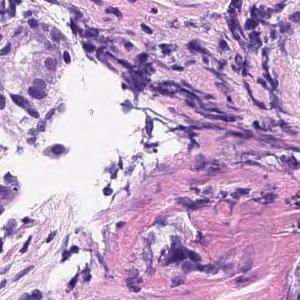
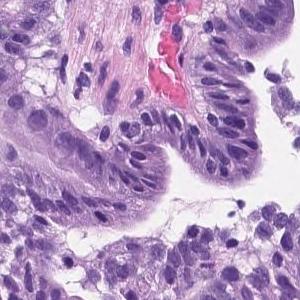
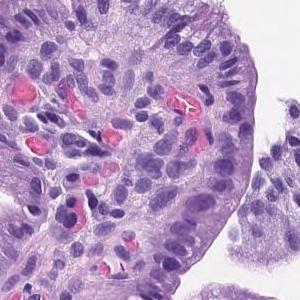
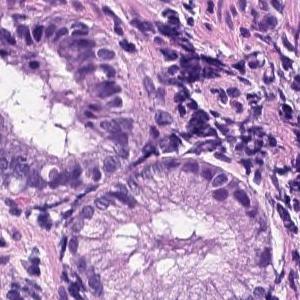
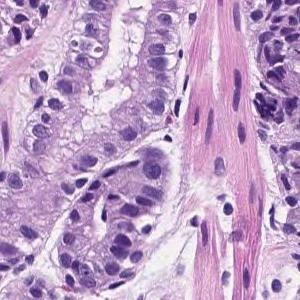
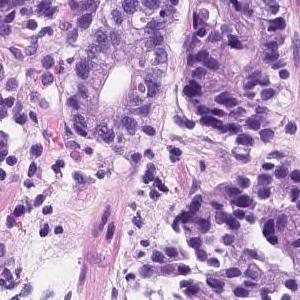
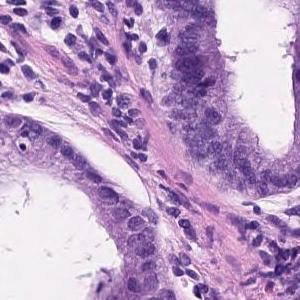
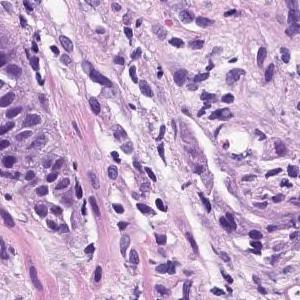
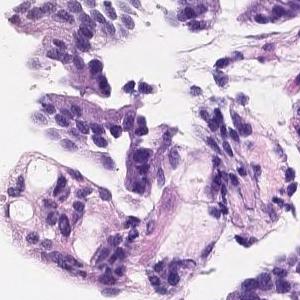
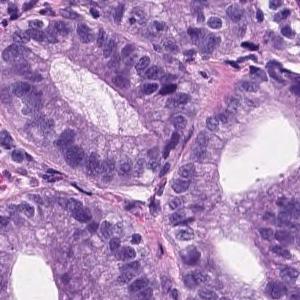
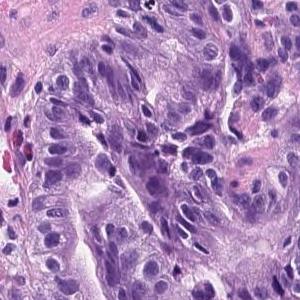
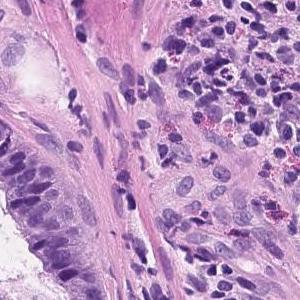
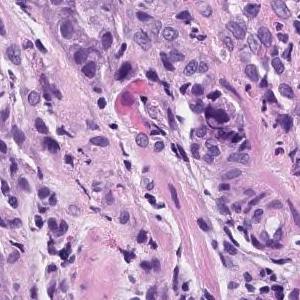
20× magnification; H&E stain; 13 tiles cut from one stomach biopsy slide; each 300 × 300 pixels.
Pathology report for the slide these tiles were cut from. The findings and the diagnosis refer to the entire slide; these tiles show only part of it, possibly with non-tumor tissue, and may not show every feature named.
Tumor tissue consisting of medium-sized and irregular ducts is observed infiltrating in the superficial epithelium. Tumor cells are highly columnar, with nuclei aligned basolaterally and polarized. Well differentiated tubular adenocarcinoma.
